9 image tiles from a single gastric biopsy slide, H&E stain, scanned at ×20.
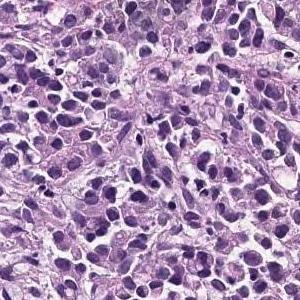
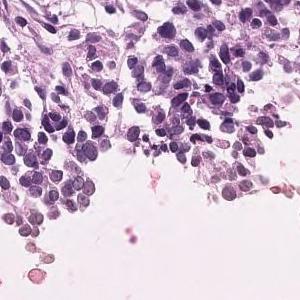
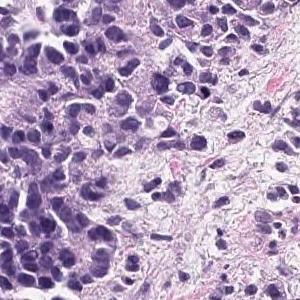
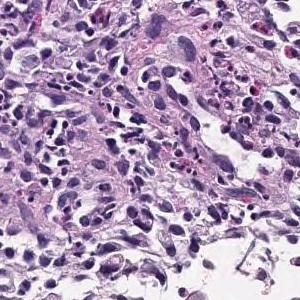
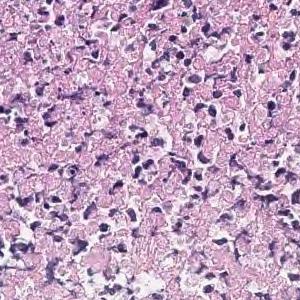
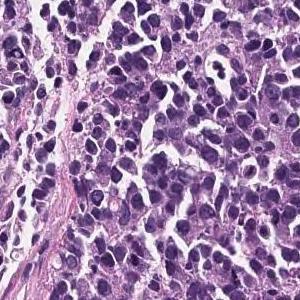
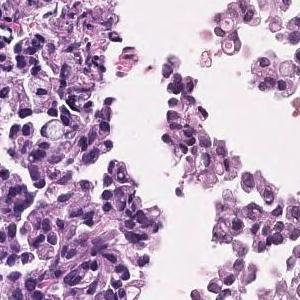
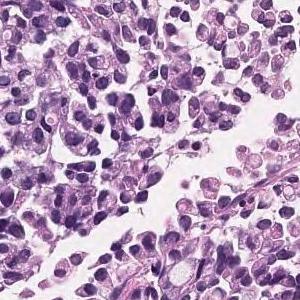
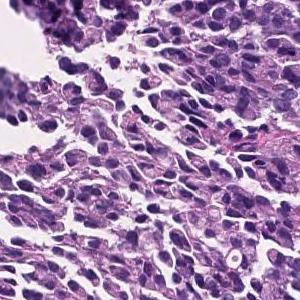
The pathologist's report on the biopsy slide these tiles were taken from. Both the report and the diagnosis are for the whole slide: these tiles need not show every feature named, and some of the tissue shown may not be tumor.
The superficial epithelium shows a large sheet-like shape, and some tumor tissue infiltrates with small irregular ducts. Poorly differentiated adenocarcinoma, solid-type
Histological subtype: Poorly differentiated adenocarcinoma, solid type (Japanese Classification of Gastric Carcinoma). The WHO 2019 equivalent is tubular adenocarcinoma, poorly differentiated.
